9 patches cut from one gastric biopsy slide; each 300 × 300 pixels; hematoxylin and eosin stain.
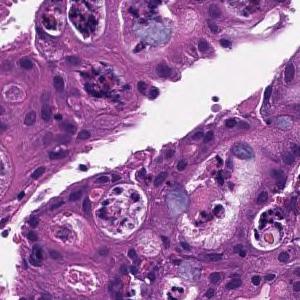
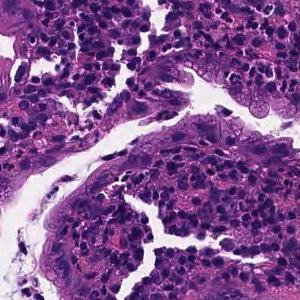
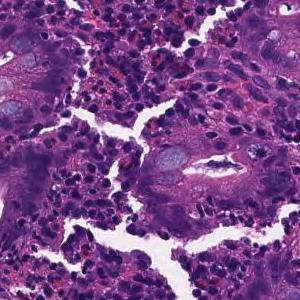
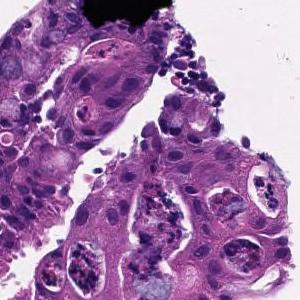
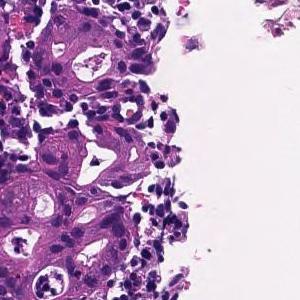
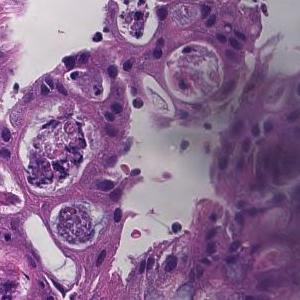
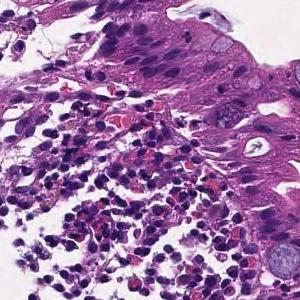
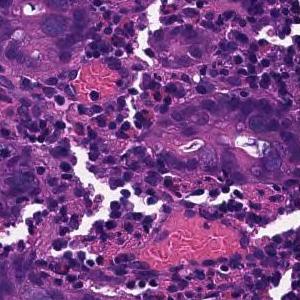
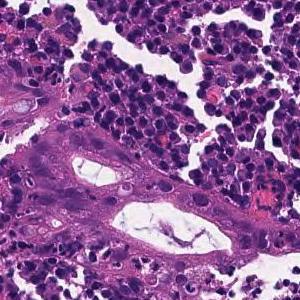
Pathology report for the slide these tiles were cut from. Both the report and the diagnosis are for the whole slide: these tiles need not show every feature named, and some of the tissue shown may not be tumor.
In the superficial epithelium, tumor tissue that invades by forming medium-sized to small, irregular ducts is observed. moderately differentiated tubular adenocarcinoma.
